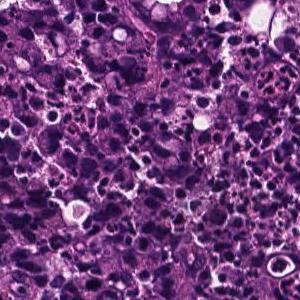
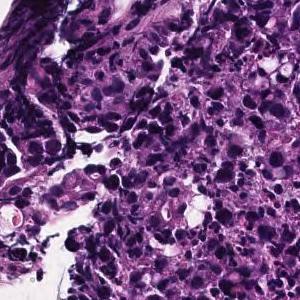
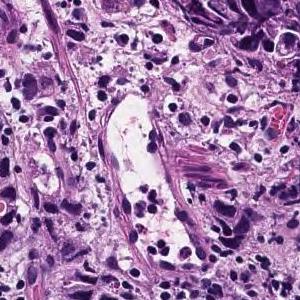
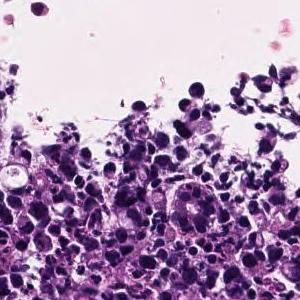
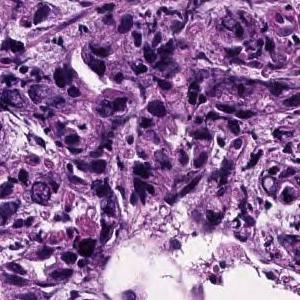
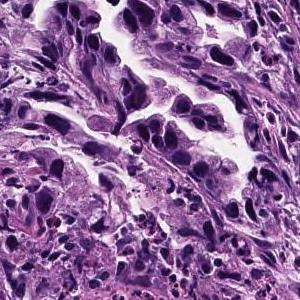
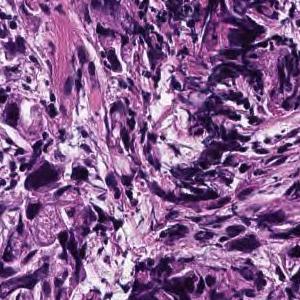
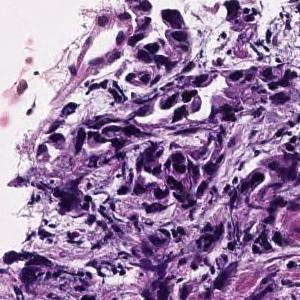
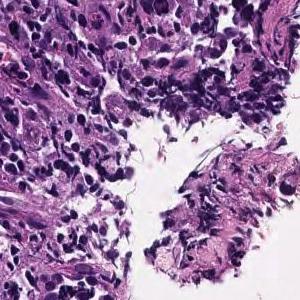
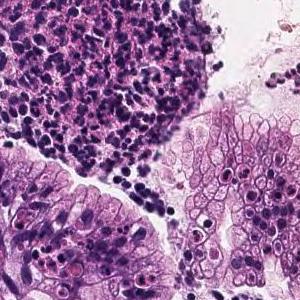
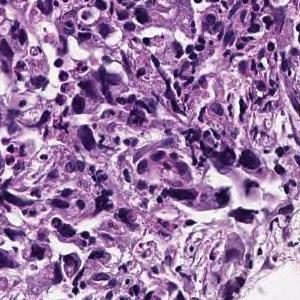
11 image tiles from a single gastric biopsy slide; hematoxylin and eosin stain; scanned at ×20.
Pathology report for the slide these tiles were cut from. The report describes the whole slide, diagnosis included: not every finding it names need appear in these tiles, which may also show non-tumor tissue.
The superficial epithelium shows a large sheet-like shape, and some tumor tissue infiltrates with small irregular ducts. Poorly differentiated adenocarcinoma, solid-type
Tumor subtype: poorly differentiated adenocarcinoma, solid type. This name comes from the Japanese Classification of Gastric Carcinoma; the WHO 2019 classification calls it tubular adenocarcinoma, poorly differentiated.
